Hematoxylin and eosin stain · 6 tiles from the same stomach biopsy slide · 300 × 300 pixels each.
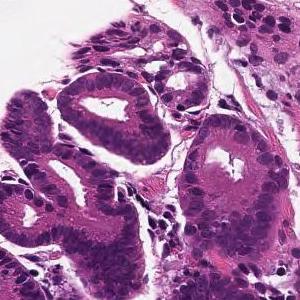
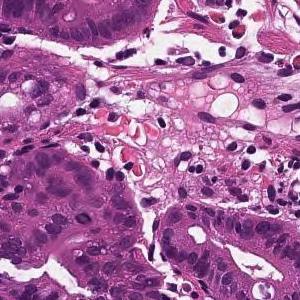
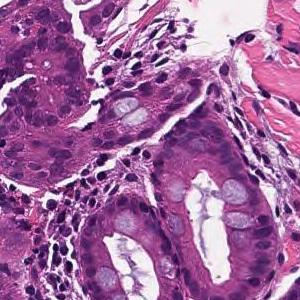
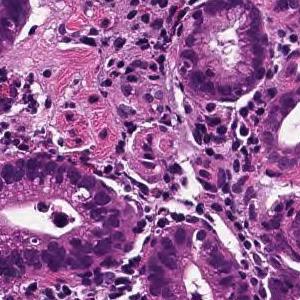
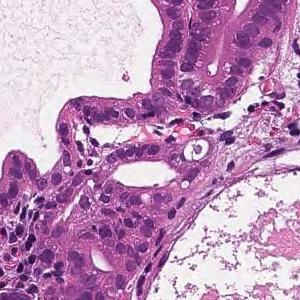
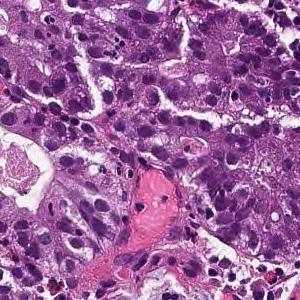
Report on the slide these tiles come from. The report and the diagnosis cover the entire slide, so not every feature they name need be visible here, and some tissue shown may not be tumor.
In the superficial epithelium, tumor tissue that invades by forming medium-sized to small, irregular ducts is observed. moderately differentiated tubular adenocarcinoma.
